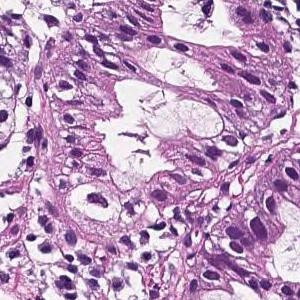
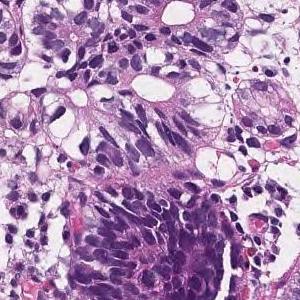
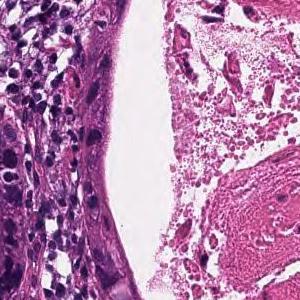
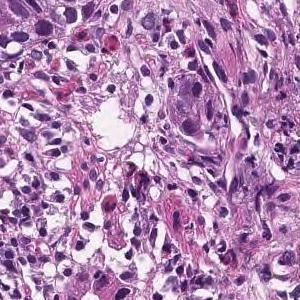
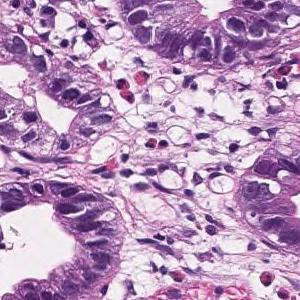
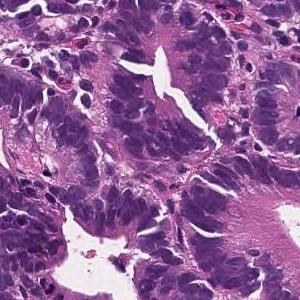
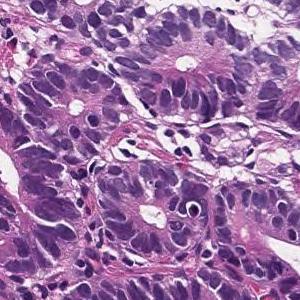
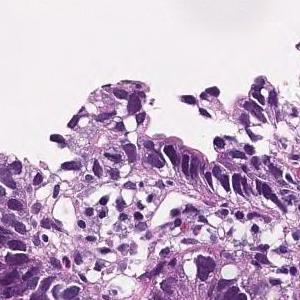
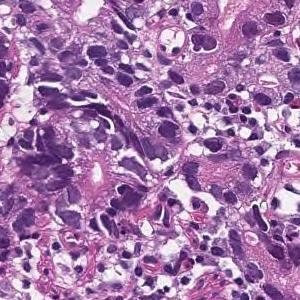
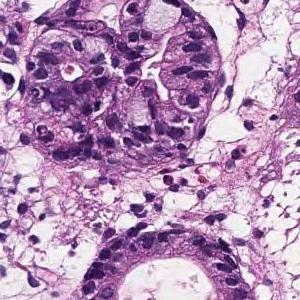
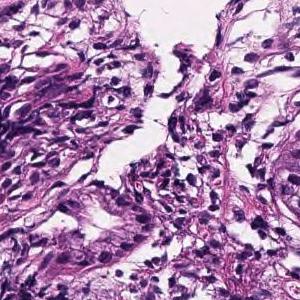
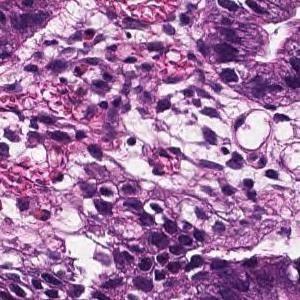
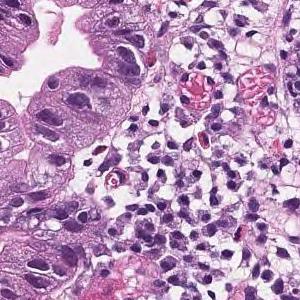
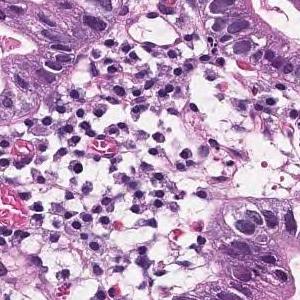
14 patches cut from one gastric biopsy slide; 300×300 px each; scanned at ×20; H&E stain.
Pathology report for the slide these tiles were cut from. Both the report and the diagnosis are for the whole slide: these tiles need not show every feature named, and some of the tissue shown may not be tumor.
On the superficial epithelium, tumor tissue consisting of large, irregular glandular ducts partially fused and infiltrated is observed. Well to moderately differentiated tubular adenocarcinoma (well differentiated tubular adenocarcinoma, moderately differentiated tubular adenocarcinoma)
Histological subtype: Well to moderately differentiated tubular adenocarcinoma.
